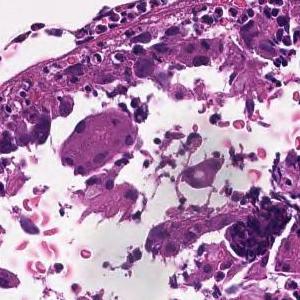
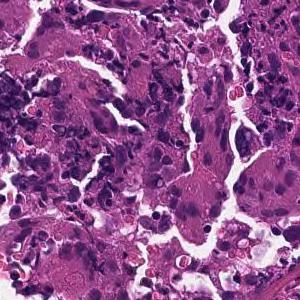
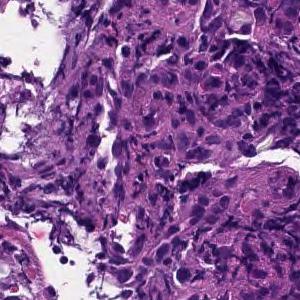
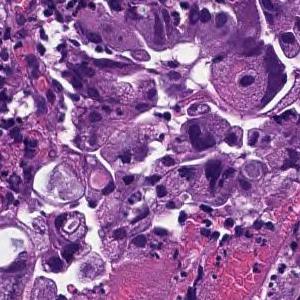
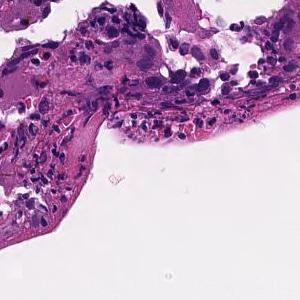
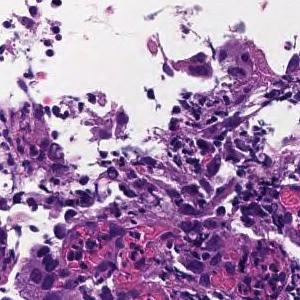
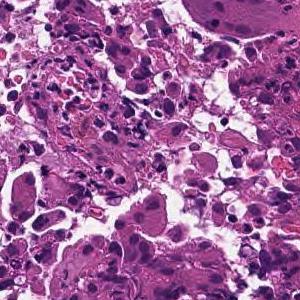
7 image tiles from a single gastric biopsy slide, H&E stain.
Pathology report for the slide these tiles were cut from. Both the report and the diagnosis are for the whole slide: these tiles need not show every feature named, and some of the tissue shown may not be tumor.
Tumor cells are medium to large, cuboidal, and have little tendency to differentiate. Poorly differentiated adenocarcinoma, solid-type  or moderately differentiated tubular adenocarcinoma
Labeled in the dataset as poorly differentiated adenocarcinoma, solid type. This name comes from the Japanese Classification of Gastric Carcinoma; the WHO 2019 classification calls it tubular adenocarcinoma, poorly differentiated.
